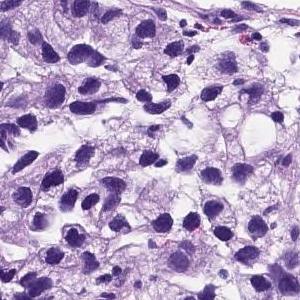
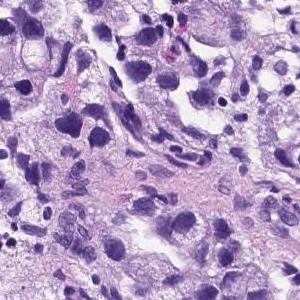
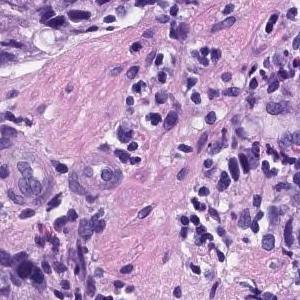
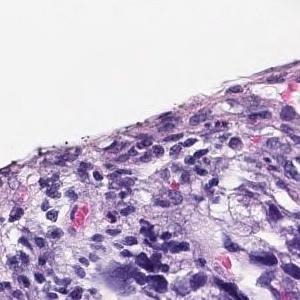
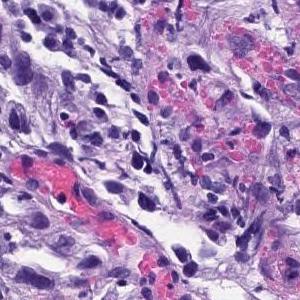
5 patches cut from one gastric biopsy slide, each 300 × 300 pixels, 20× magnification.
Diagnostic report for the slide these tiles come from. The report and the diagnosis describe the slide as a whole, so these tiles may not show every feature named and may include non-tumor tissue.
Medium to small, irregular glandular ducts are formed in the superficial epithelium, and in some cases, the glandular ducts are fused to show solid alveolar lesions and infiltrating tumor tissue is observed. Poorly differentiated adenocarcinoma, Moderately differentiated adenocarcinoma.
Labeled in the dataset as moderately differentiated tubular adenocarcinoma.
